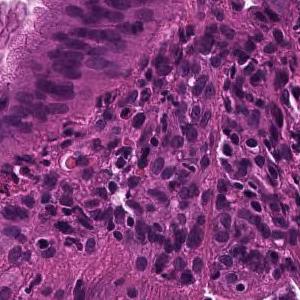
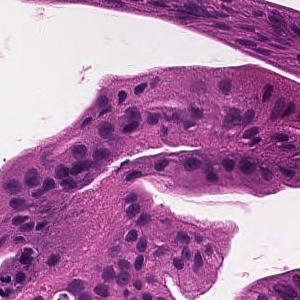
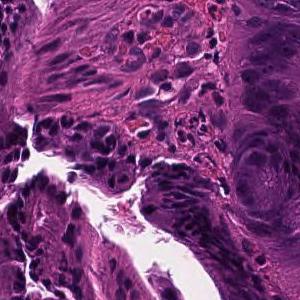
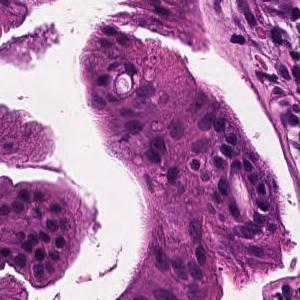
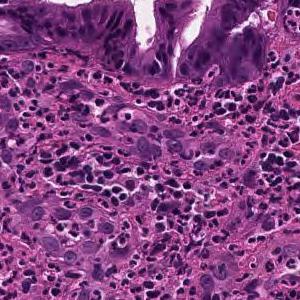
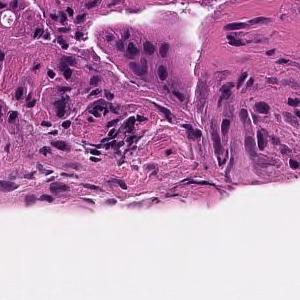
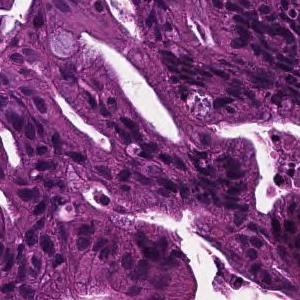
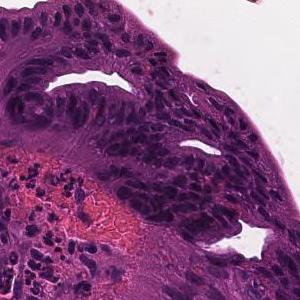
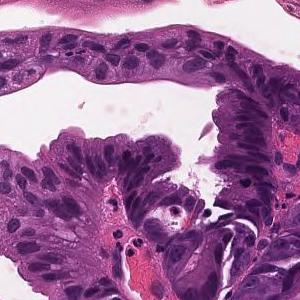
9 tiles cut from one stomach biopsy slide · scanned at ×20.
The pathologist's report on the biopsy slide these tiles were taken from. The report and the diagnosis cover the entire slide, so not every feature they name need be visible here, and some tissue shown may not be tumor.
Tumor cells are large, highly columnar, large club-shaped nuclei, and are associated with chromatin aggregation. Papillary adenocarcinoma.
